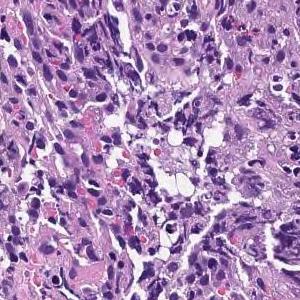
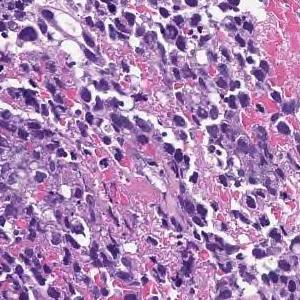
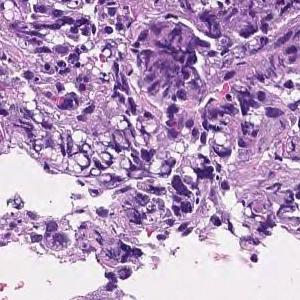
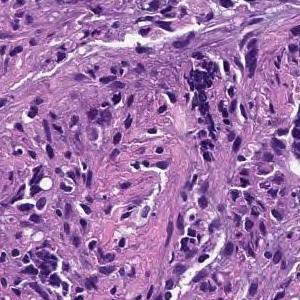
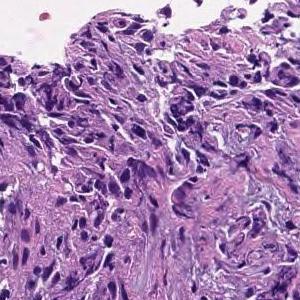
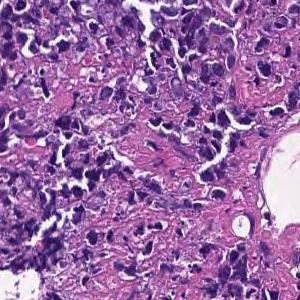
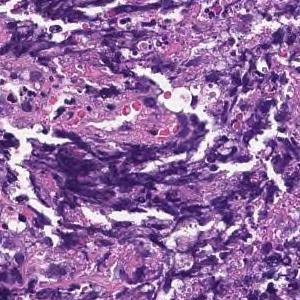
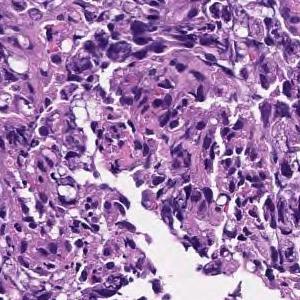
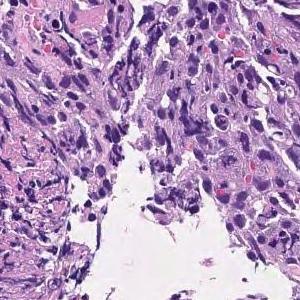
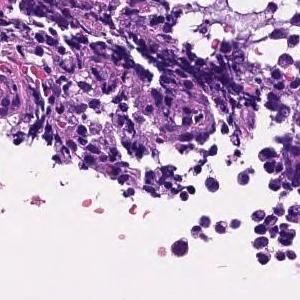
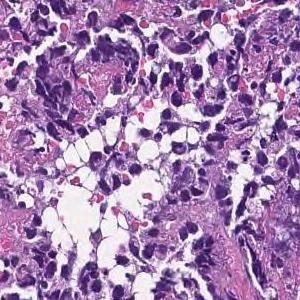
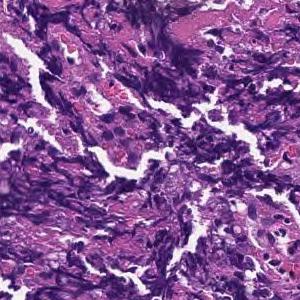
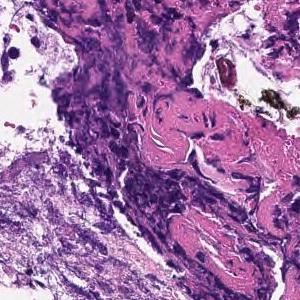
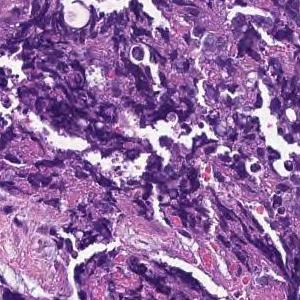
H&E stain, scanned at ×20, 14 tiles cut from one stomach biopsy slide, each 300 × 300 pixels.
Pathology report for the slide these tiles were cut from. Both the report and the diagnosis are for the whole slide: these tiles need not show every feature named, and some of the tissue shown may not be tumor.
Most are composed of coagulative necrotic tissue, but some show a large sheet-like shape, and some show tumor tissue infiltrating with a small cord-like structure. Poorly differentiated adenocarcinoma, solid-type
Tumor subtype: poorly differentiated adenocarcinoma, solid type (Japanese Classification of Gastric Carcinoma). The WHO 2019 equivalent is tubular adenocarcinoma, poorly differentiated.
